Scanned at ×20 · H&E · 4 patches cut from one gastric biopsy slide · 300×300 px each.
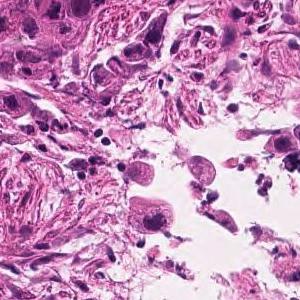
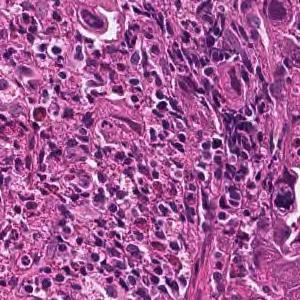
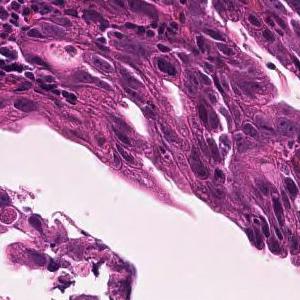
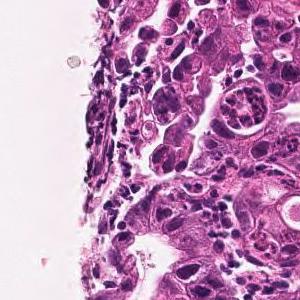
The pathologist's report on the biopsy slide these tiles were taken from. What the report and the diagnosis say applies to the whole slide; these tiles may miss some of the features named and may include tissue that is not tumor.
Medium to small, irregular glandular ducts are formed in the superficial epithelium, and in some cases, the glandular ducts are fused to show solid alveolar lesions and infiltrating tumor tissue is observed. Moderately to poorly differentiated adenocarcinoma.
